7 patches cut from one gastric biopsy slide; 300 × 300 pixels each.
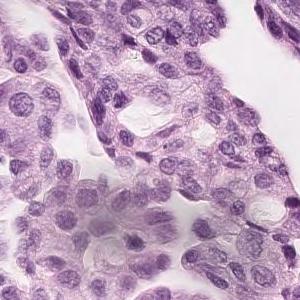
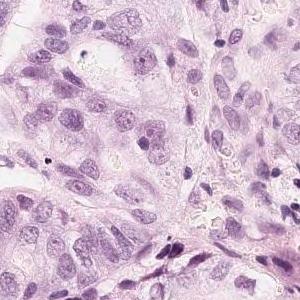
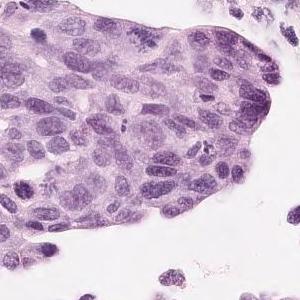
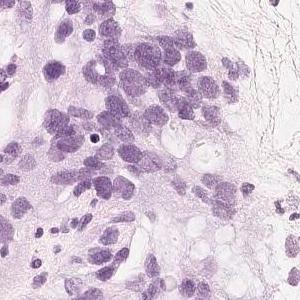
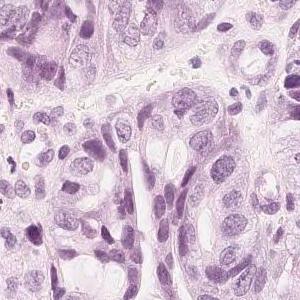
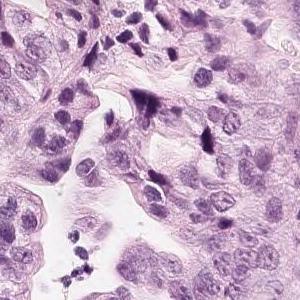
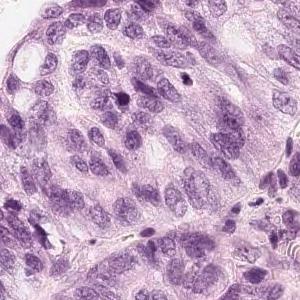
The pathologist's report on the biopsy slide these tiles were taken from. Both the report and the diagnosis are for the whole slide: these tiles need not show every feature named, and some of the tissue shown may not be tumor.
Tumor tissue in which medium-sized atypical epithelial cells with a large N/C ratio grow densely while becoming alveolar to cord-like with duct formation is observed. moderately differentiated tubular adenocarcinoma
